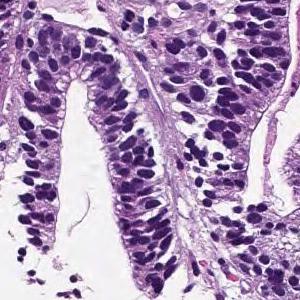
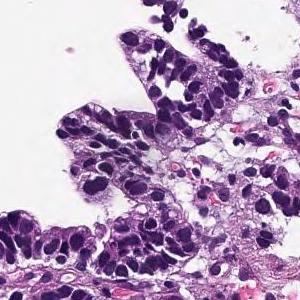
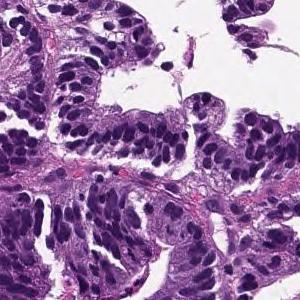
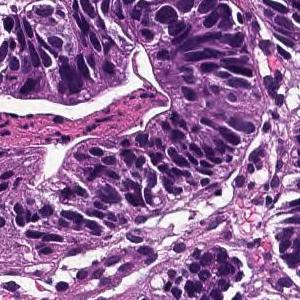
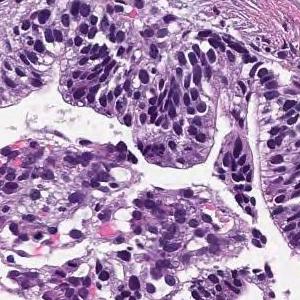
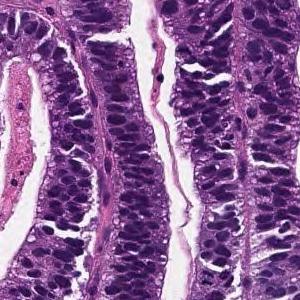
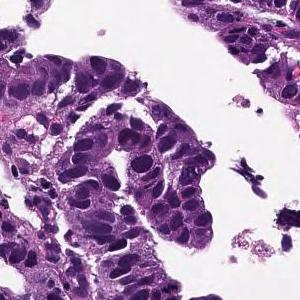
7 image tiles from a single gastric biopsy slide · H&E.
Report on the slide these tiles come from. The report and the diagnosis describe the slide as a whole, so these tiles may not show every feature named and may include non-tumor tissue.
Tumor cells are large, highly columnar, large club-shaped nuclei, and are associated with chromatin aggregation. Papillary adenocarcinoma.
